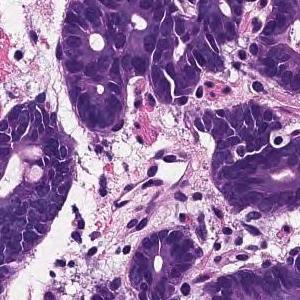
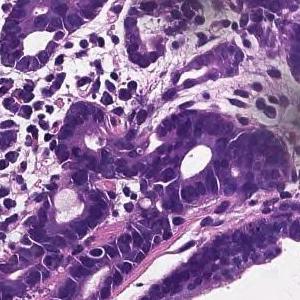
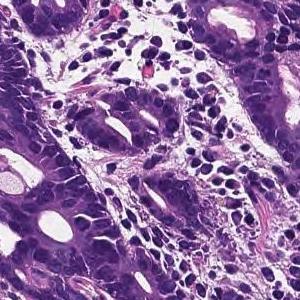
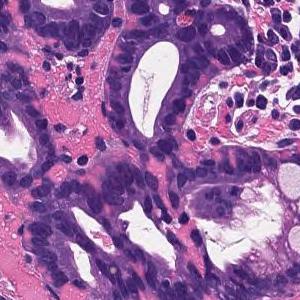
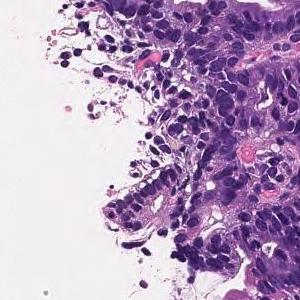
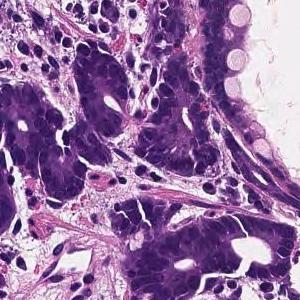
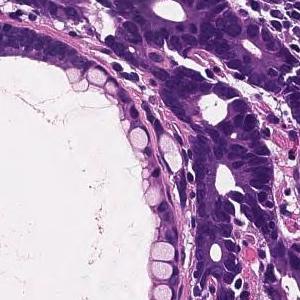
7 tiles from the same stomach biopsy slide; scanned at ×20.
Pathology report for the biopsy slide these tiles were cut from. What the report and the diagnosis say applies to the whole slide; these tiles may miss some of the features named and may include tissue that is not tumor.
On the superficial epithelium, tumor tissue is found in which medium-sized irregular gland ducts fuse with each other and infiltrate. moderately differentiated tubular adenocarcinoma
